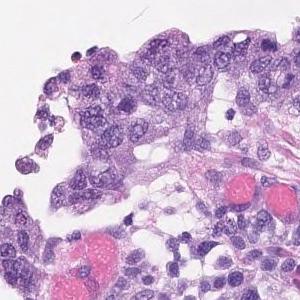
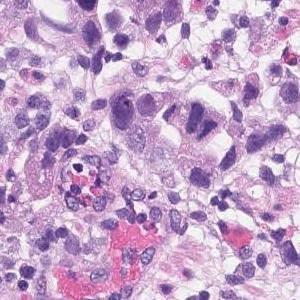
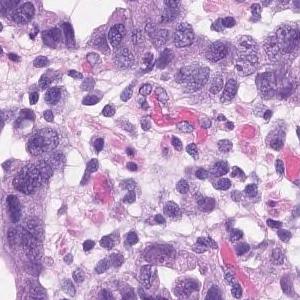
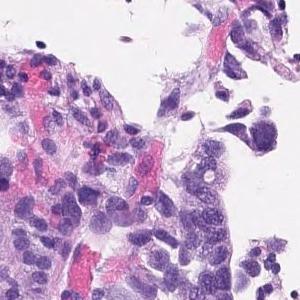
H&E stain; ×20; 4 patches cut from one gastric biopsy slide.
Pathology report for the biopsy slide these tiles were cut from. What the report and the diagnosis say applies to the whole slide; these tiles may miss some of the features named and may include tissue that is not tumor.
Atypical l cells with atypical nuclei forming solid or diffuse vesicles or small irregular atypical ducts and growing in a complex manner. poorly differentiated adenocarcinoma, solid type, moderately differentiated tubular adenocarcinoma.
Subtypes: Poorly differentiated adenocarcinoma, solid type and moderately differentiated tubular adenocarcinoma.
"Solid type" is a category of the Japanese Classification of Gastric Carcinoma; in the WHO 2019 classification it is tubular adenocarcinoma, poorly differentiated.
